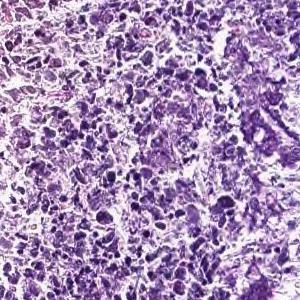
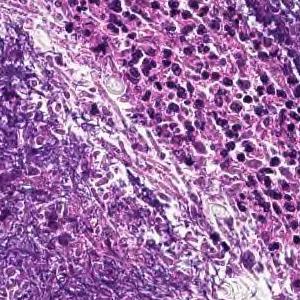
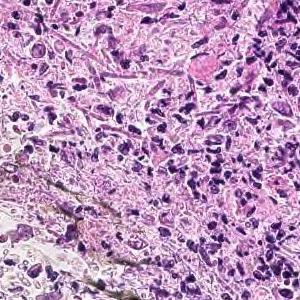
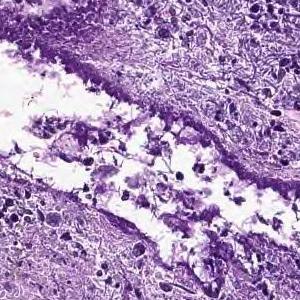
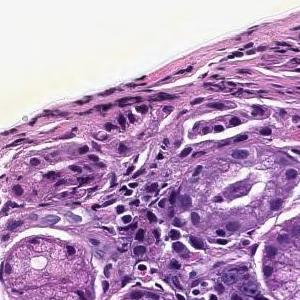
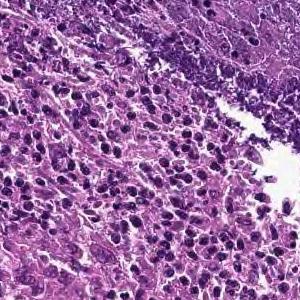
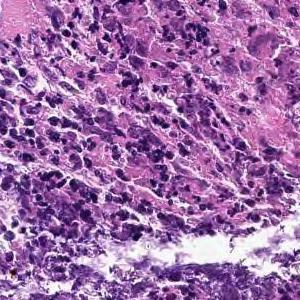
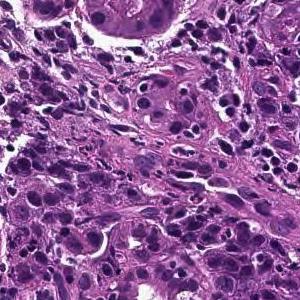
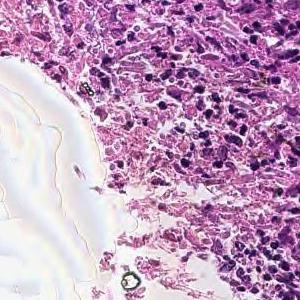
Scanned at ×20; hematoxylin and eosin stain; 9 tiles cut from one stomach biopsy slide; 300×300 px each.
The pathologist's report on the biopsy slide these tiles were taken from. The report describes the whole slide, diagnosis included: not every finding it names need appear in these tiles, which may also show non-tumor tissue.
Cancers with polygonal nuclei do not show glandular formation and are densely, in part, cord-like and proliferate. Poorly differentiated adenocarcinoma
Histological subtype: Poorly differentiated adenocarcinoma, non-solid type.
The term "non-solid type" comes from the Japanese Classification of Gastric Carcinoma.
